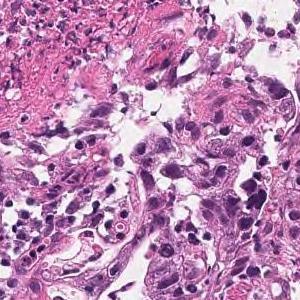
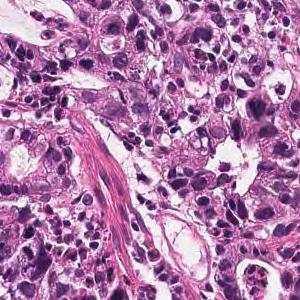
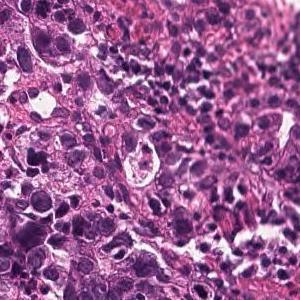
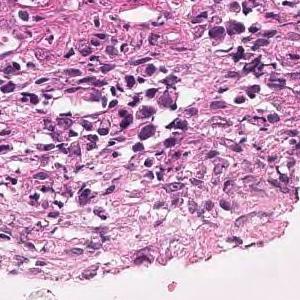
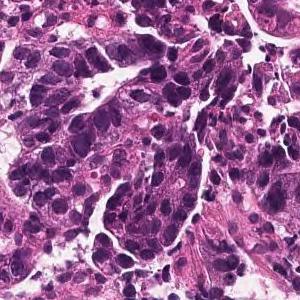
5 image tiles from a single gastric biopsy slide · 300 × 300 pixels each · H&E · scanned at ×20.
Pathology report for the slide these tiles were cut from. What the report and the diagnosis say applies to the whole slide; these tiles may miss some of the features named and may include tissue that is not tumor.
In the superficial epithelium, tumor tissue that invades by forming medium-sized to small, irregular ducts is observed. Moderately differentiated adenocarcinoma.
Subtype: Moderately differentiated tubular adenocarcinoma.
